20× magnification · 6 tiles cut from one stomach biopsy slide · 300×300 px each.
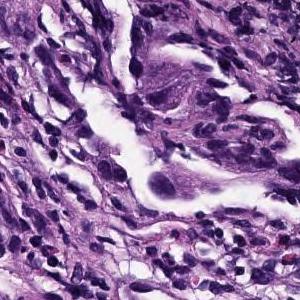
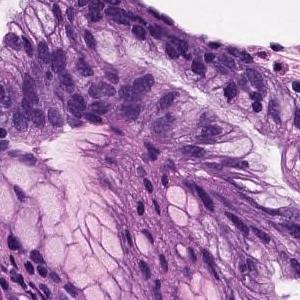
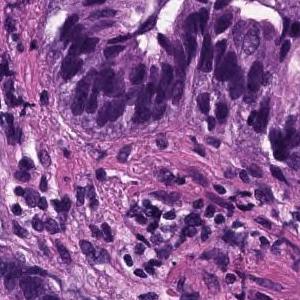
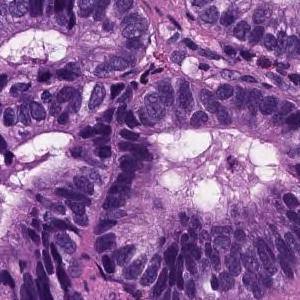
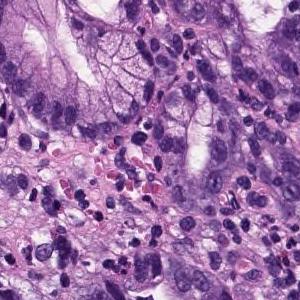
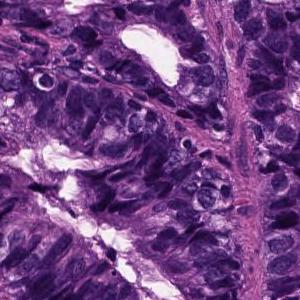
Diagnostic report for the slide these tiles come from. Both the report and the diagnosis are for the whole slide: these tiles need not show every feature named, and some of the tissue shown may not be tumor.
In the superficial epithelium, tumor tissue that invades by forming medium-sized to small, irregular ducts is observed. Moderately differentiated adenocarcinoma.
Tumor subtype: moderately differentiated tubular adenocarcinoma.
